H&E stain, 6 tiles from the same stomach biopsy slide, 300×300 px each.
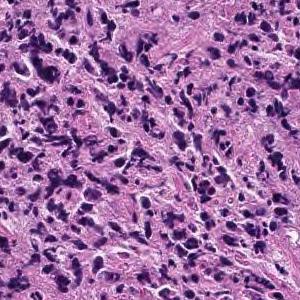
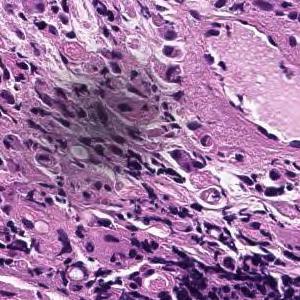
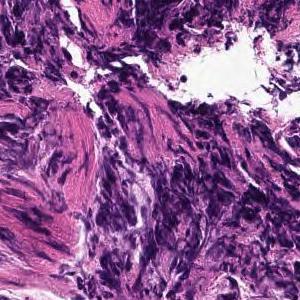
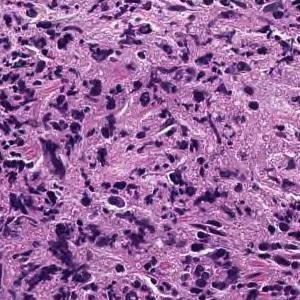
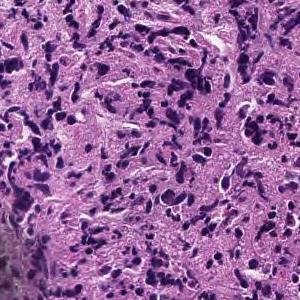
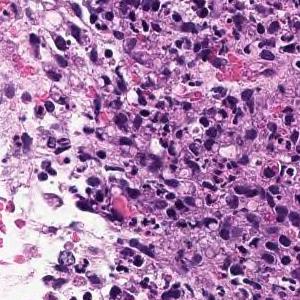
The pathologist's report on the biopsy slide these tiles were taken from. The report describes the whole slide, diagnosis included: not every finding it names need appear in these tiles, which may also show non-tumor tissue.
Large sheet-like or diffusely infiltrating tumor tissue is found in the superficial epithelium. Poorly differentiated adenocarcinoma, solid-type
Histologic type: Poorly differentiated adenocarcinoma, solid type, a category of the Japanese Classification of Gastric Carcinoma; in the WHO 2019 classification it is tubular adenocarcinoma, poorly differentiated.
